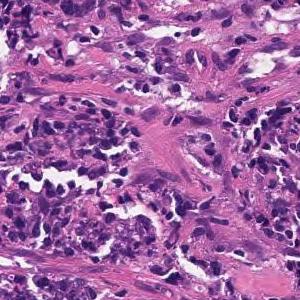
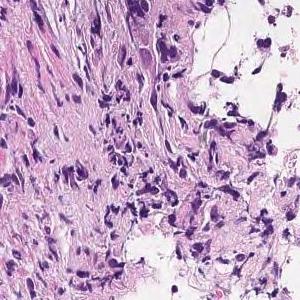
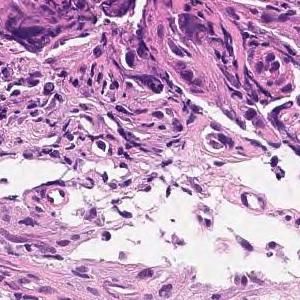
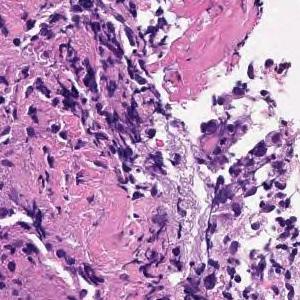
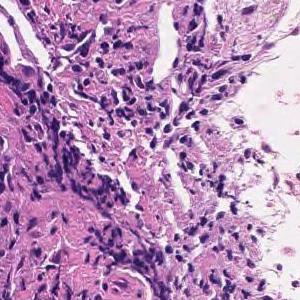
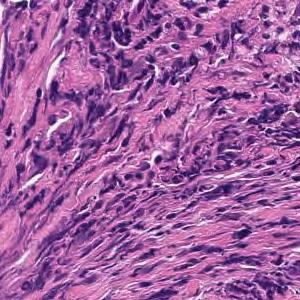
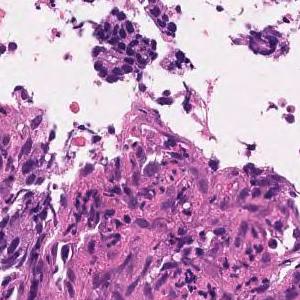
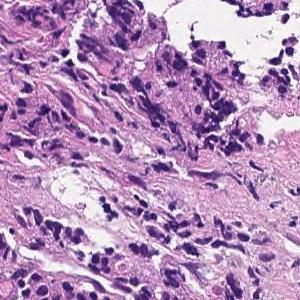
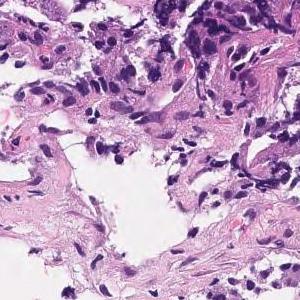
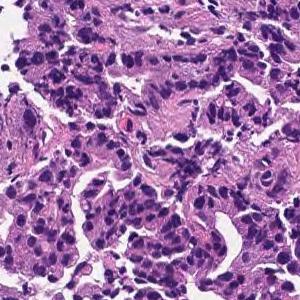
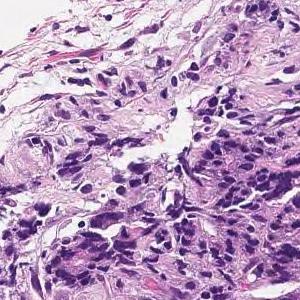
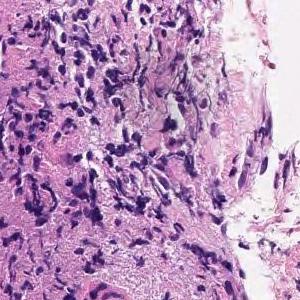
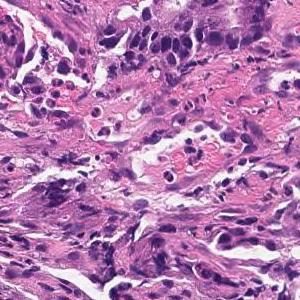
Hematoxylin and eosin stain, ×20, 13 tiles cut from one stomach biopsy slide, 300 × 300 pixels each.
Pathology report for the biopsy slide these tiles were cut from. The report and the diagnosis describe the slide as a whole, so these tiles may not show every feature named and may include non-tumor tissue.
Tumor tissue consisting of medium-sized, cord-like or irregular glandular infiltration is observed in the superficial epithelium. Poorly differentiated adenocarcinoma, non-solid type or moderately differentiated tubular adenocarcinoma
Histological subtype: Moderately to poorly differentiated adenocarcinoma.
The non-solid type named here is a Japanese Classification of Gastric Carcinoma category.
